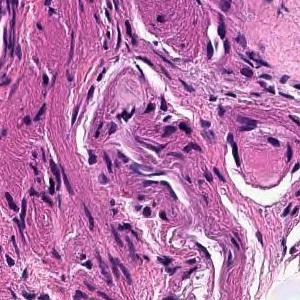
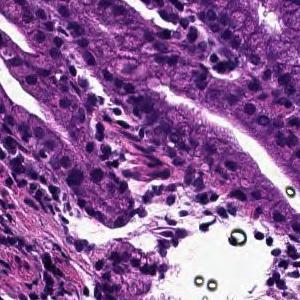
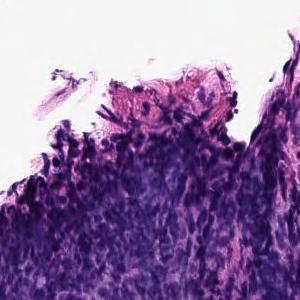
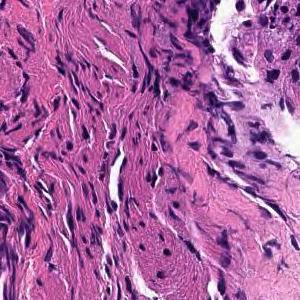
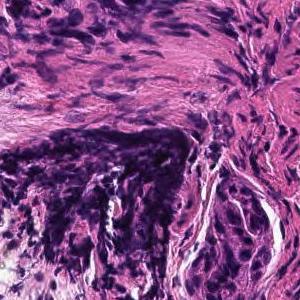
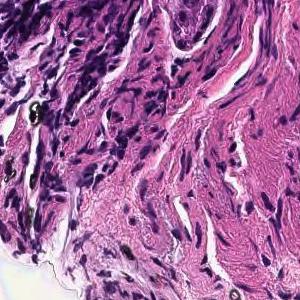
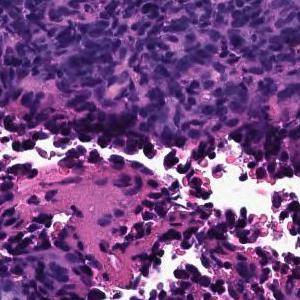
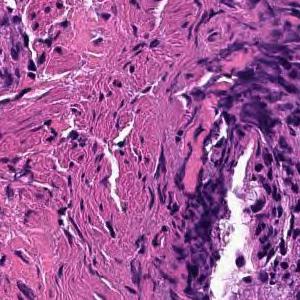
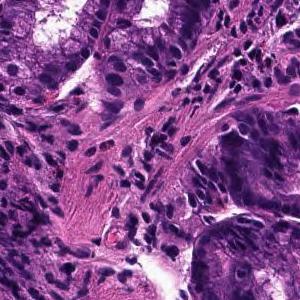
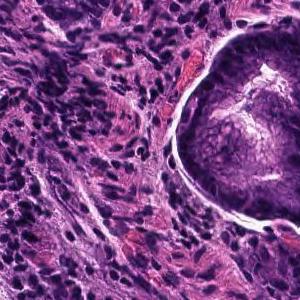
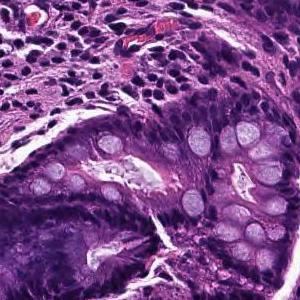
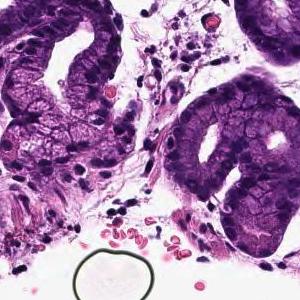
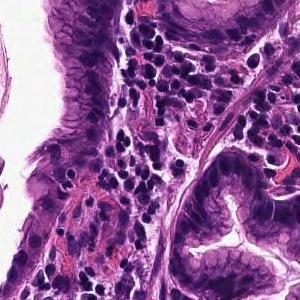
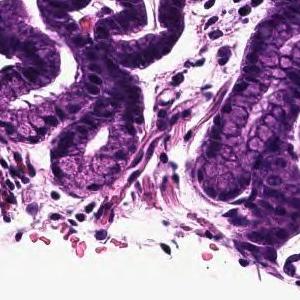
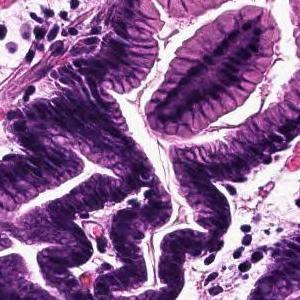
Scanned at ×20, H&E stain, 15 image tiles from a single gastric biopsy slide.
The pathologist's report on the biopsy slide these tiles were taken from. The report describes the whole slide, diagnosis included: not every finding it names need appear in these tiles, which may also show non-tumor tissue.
The superficial epithelium shows a large sheet-like shape, and some tumor tissue infiltrates with small irregular ducts. Poorly differentiated adenocarcinoma, solid-type
Histologic type: Poorly differentiated adenocarcinoma, solid type (Japanese Classification of Gastric Carcinoma). The WHO 2019 equivalent is tubular adenocarcinoma, poorly differentiated.
